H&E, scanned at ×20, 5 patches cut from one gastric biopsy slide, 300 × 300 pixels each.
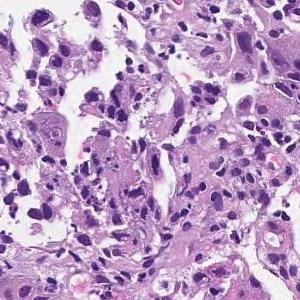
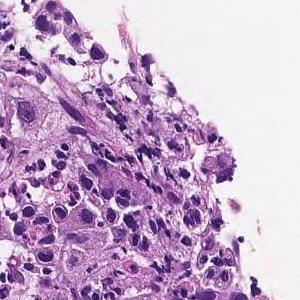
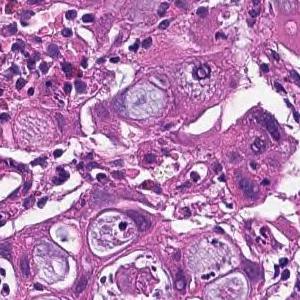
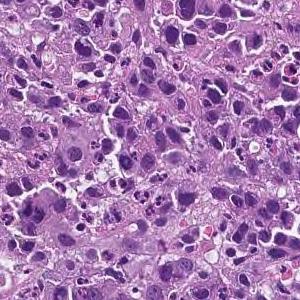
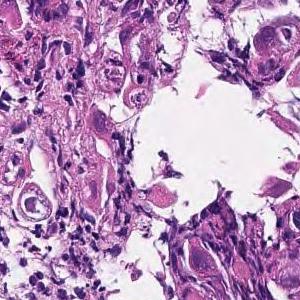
The pathologist's report on the biopsy slide these tiles were taken from. The report and the diagnosis cover the entire slide, so not every feature they name need be visible here, and some tissue shown may not be tumor.
The superficial epithelium shows a large sheet-like shape, and some tumor tissue infiltrates with small irregular ducts. Poorly differentiated adenocarcinoma, solid-type
Tumor subtype: poorly differentiated adenocarcinoma, solid type, a category of the Japanese Classification of Gastric Carcinoma; in the WHO 2019 classification it is tubular adenocarcinoma, poorly differentiated.
